13 tiles cut from one stomach biopsy slide, 20× magnification, H&E.
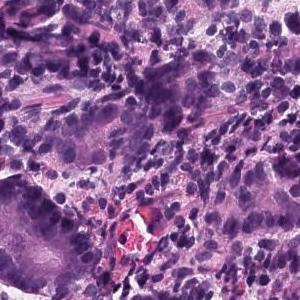
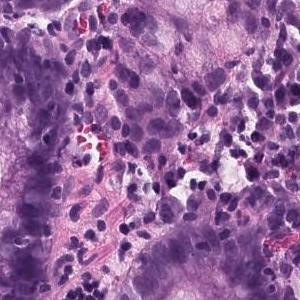
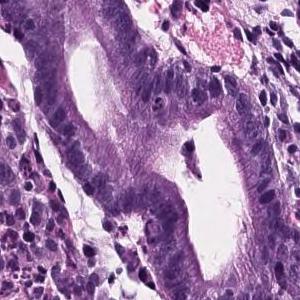
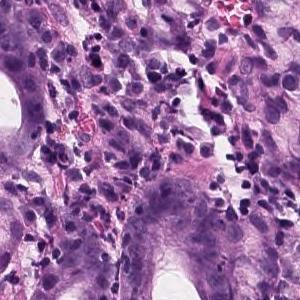
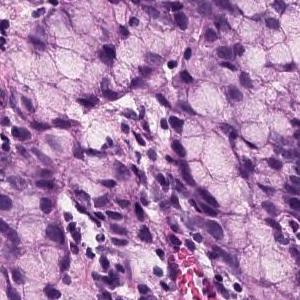
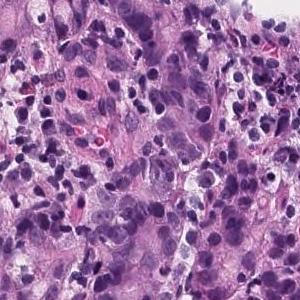
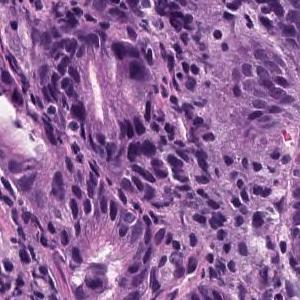
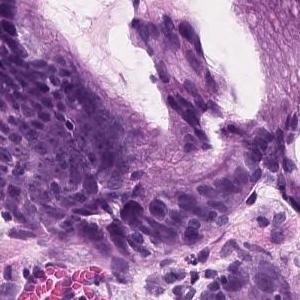
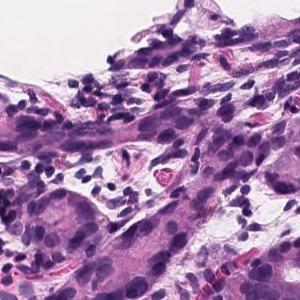
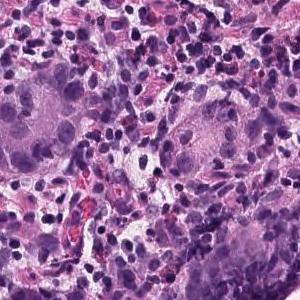
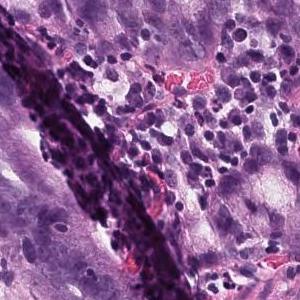
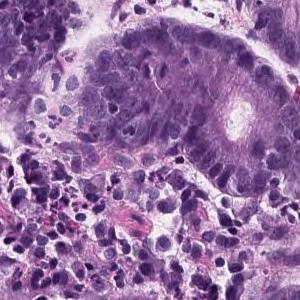
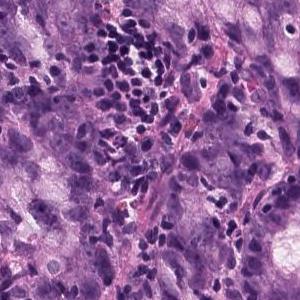
Report on the slide these tiles come from. The report and the diagnosis cover the entire slide, so not every feature they name need be visible here, and some tissue shown may not be tumor.
In the superficial epithelium, tumor tissue that invades by forming medium-sized to small, irregular ducts is observed. Moderately differentiated adenocarcinoma.
Tumor subtype: moderately differentiated tubular adenocarcinoma.
